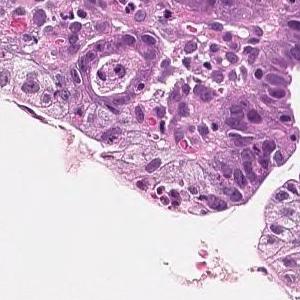
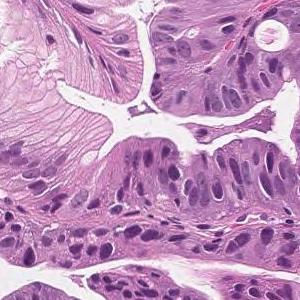
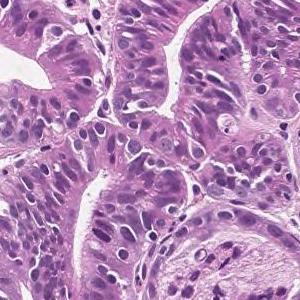
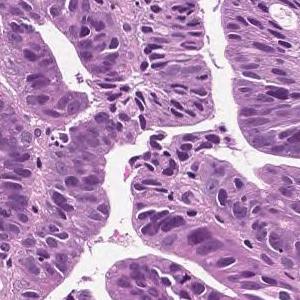
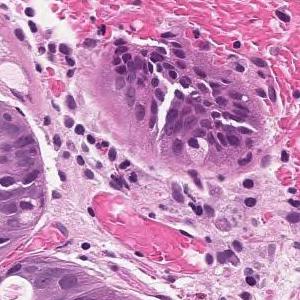
5 tiles cut from one stomach biopsy slide · H&E · 20× magnification.
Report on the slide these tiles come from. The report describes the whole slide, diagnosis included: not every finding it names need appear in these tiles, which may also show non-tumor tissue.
From the superficial epithelium to the muscularis mucosae, tumor tissue consisting of medium-sized and irregular glandular ducts infiltrating is observed. Well differentiated tubular adenocarcinoma
